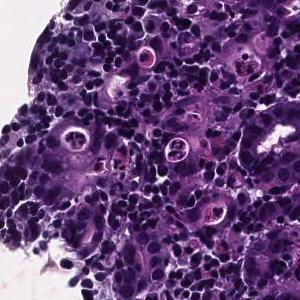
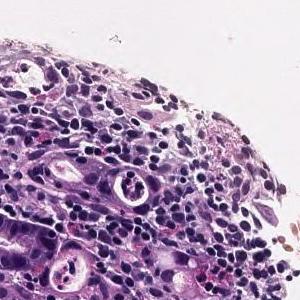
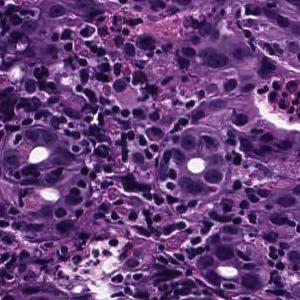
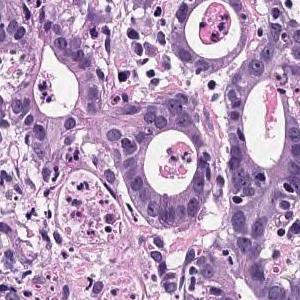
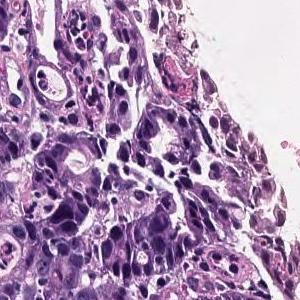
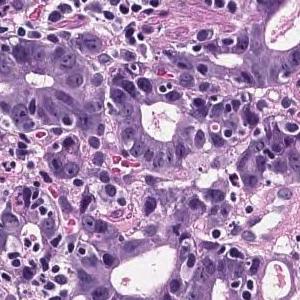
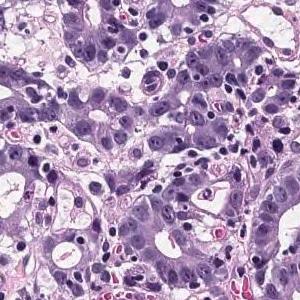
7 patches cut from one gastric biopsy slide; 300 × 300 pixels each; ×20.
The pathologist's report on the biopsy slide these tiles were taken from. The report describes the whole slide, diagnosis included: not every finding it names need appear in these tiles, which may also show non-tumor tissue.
In the superficial epithelium, tumor tissue that invades by forming medium-sized to small, irregular ducts is observed. moderately differentiated tubular adenocarcinoma.
